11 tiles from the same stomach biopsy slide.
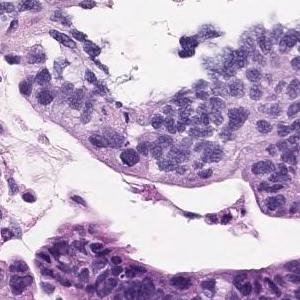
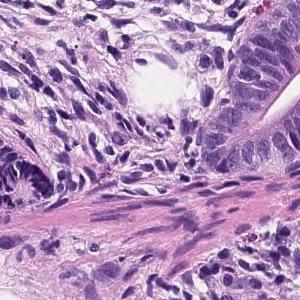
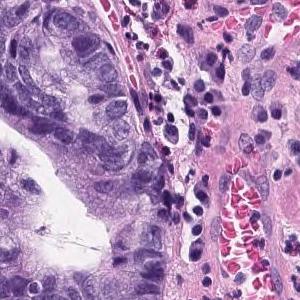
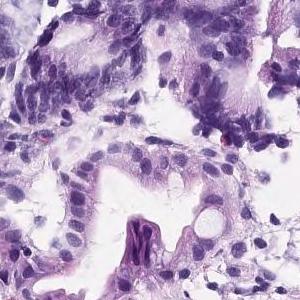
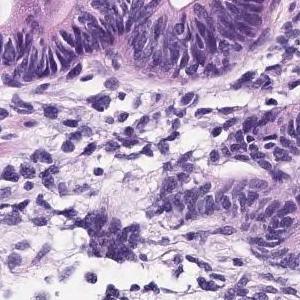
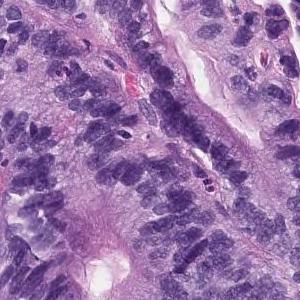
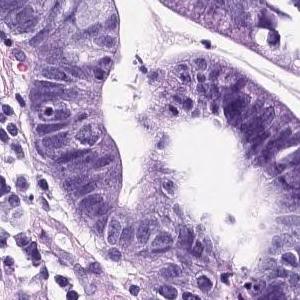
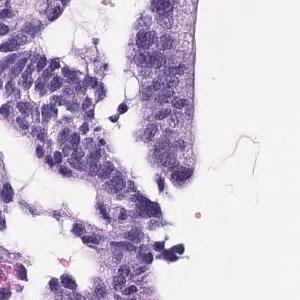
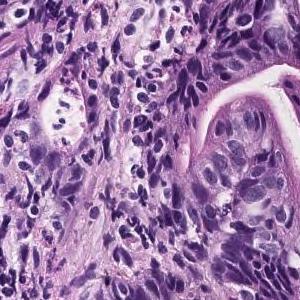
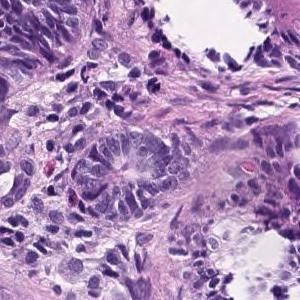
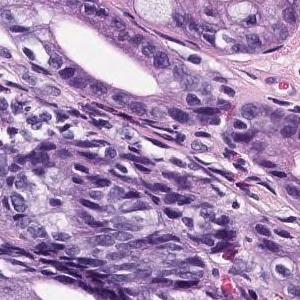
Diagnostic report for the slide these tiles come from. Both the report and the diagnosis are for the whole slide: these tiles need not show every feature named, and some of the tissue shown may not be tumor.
On the superficial epithelium, tumor tissue consisting of medium-sized to large-sized, round or irregular glandular duct growth images is observed. Well differentiated adenocarcinoma.
Tumor subtype: well differentiated tubular adenocarcinoma.
